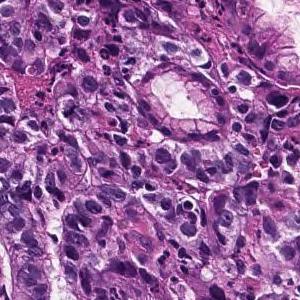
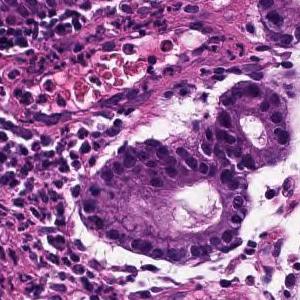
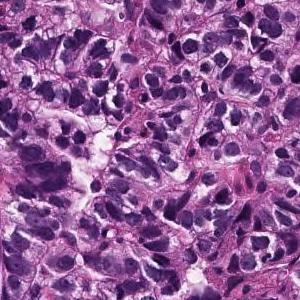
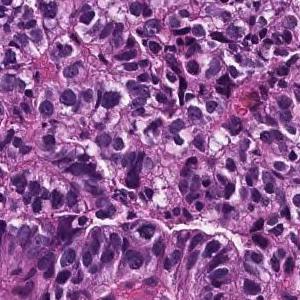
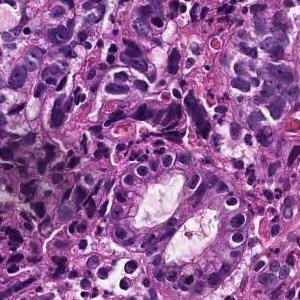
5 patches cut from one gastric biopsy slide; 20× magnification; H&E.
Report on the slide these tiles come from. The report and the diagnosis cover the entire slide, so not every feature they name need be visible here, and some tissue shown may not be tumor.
In the superficial epithelium, tumor tissue that invades by forming medium-sized to small, irregular ducts is observed. moderately differentiated tubular adenocarcinoma.
